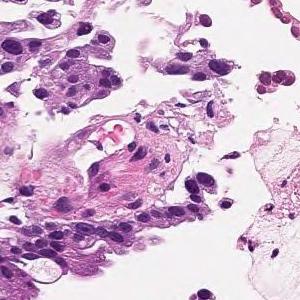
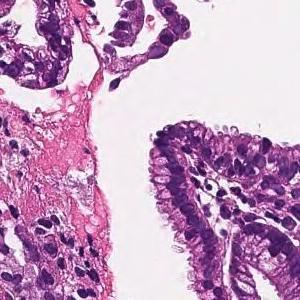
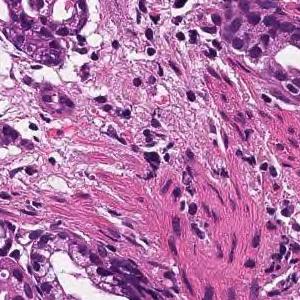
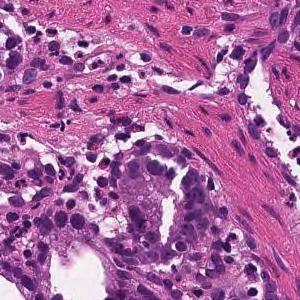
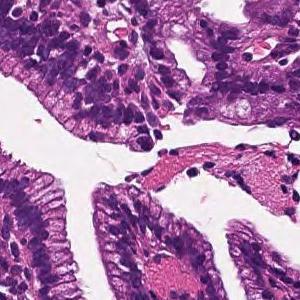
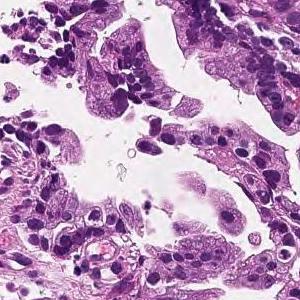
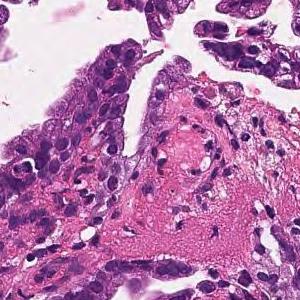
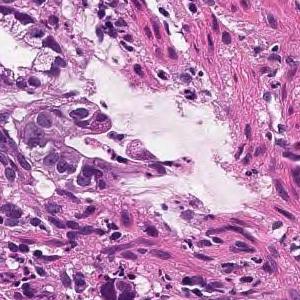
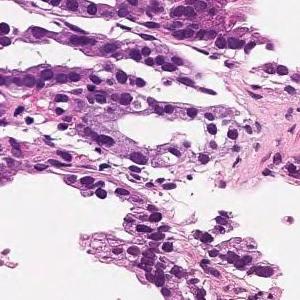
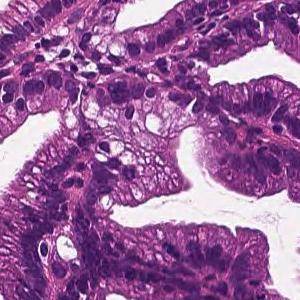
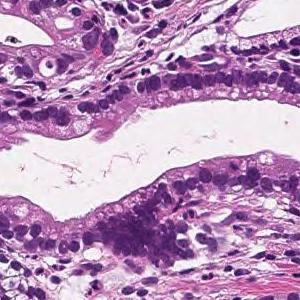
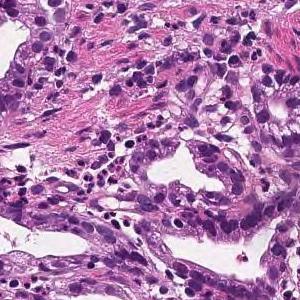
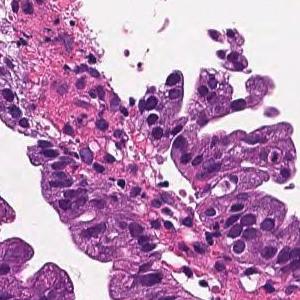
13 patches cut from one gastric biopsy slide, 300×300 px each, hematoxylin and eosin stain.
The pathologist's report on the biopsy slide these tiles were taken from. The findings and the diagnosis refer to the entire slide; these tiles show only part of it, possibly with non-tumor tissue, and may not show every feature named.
On the superficial epithelium, tumor tissue that infiltrates by forming medium-sized papillary or small irregular ducts is observed. Papillary adenocarcinoma
